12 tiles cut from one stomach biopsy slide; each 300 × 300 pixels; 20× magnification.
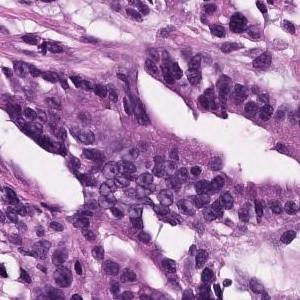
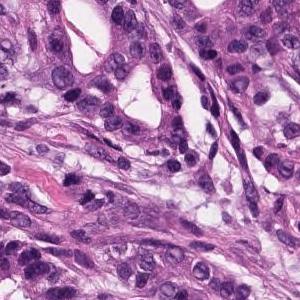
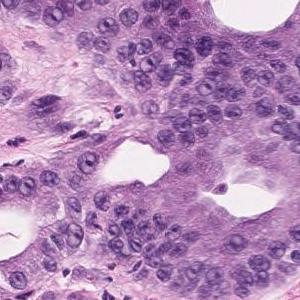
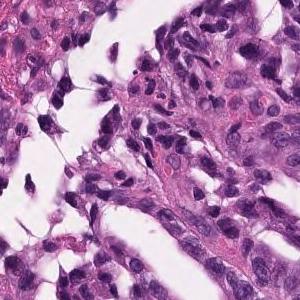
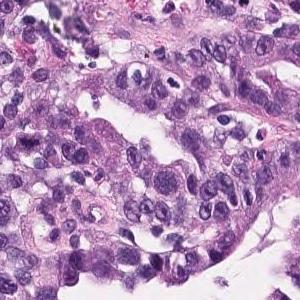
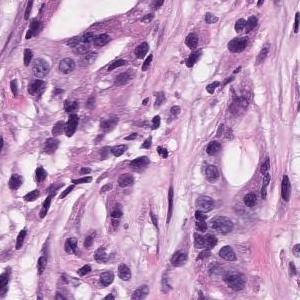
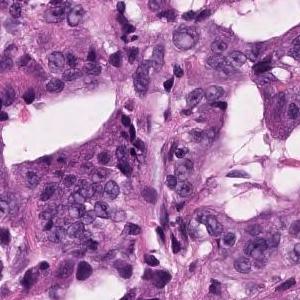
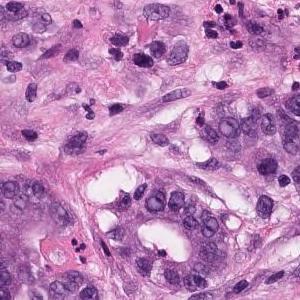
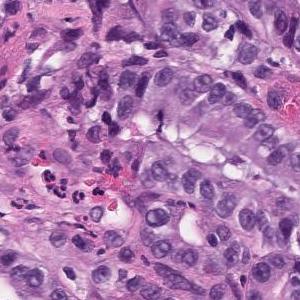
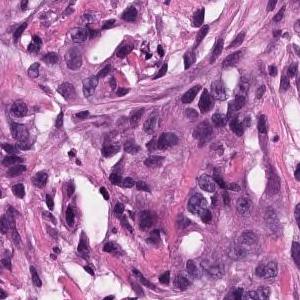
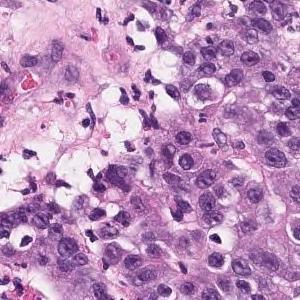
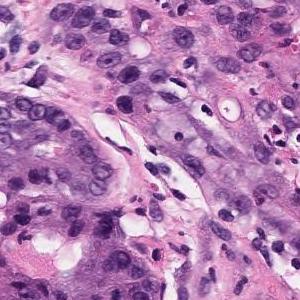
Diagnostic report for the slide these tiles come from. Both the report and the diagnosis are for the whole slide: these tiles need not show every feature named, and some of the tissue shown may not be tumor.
In the superficial epithelium, tumor tissue that invades by forming medium-sized to small, irregular ducts is observed. Moderately differentiated adenocarcinoma.
Subtype: Moderately differentiated tubular adenocarcinoma.
